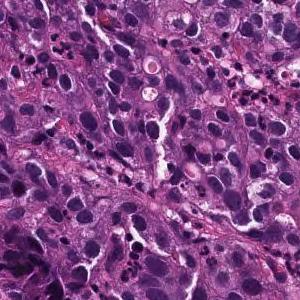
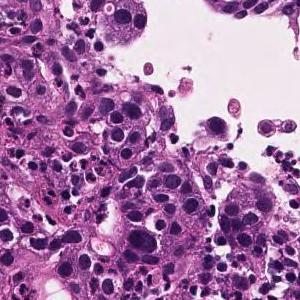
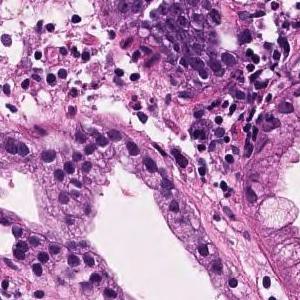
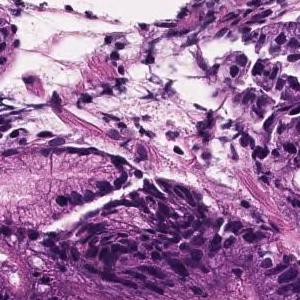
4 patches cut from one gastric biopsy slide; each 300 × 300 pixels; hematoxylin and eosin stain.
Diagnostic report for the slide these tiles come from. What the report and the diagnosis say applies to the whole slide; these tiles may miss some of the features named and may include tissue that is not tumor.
In the superficial epithelium, tumor tissue that invades by forming medium-sized to small, irregular ducts is observed. moderately differentiated tubular adenocarcinoma.
